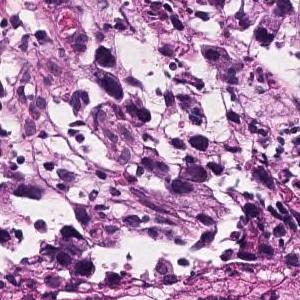
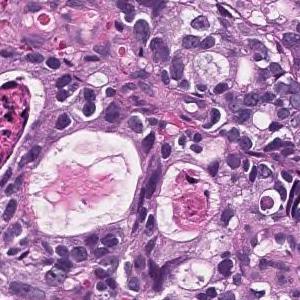
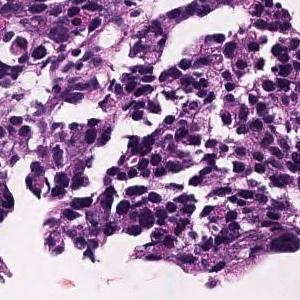
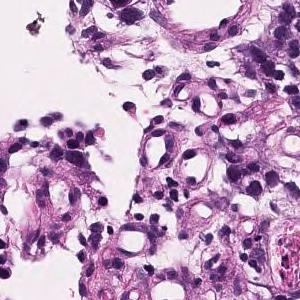
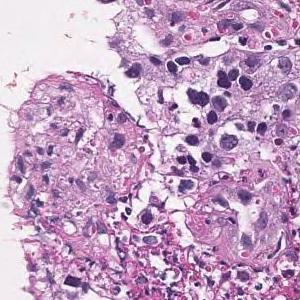
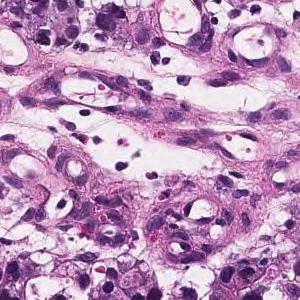
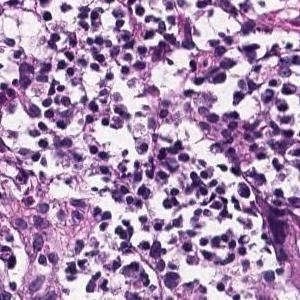
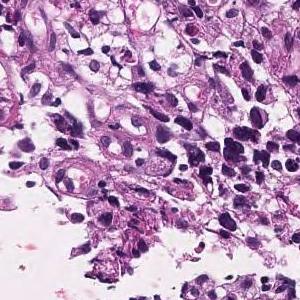
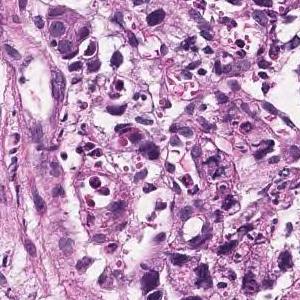
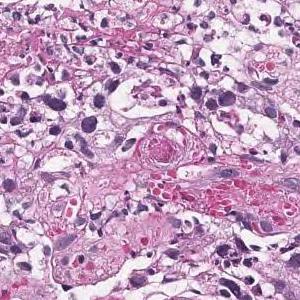
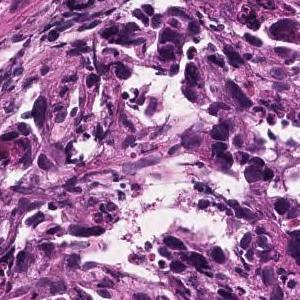
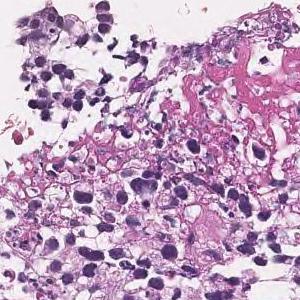
Hematoxylin and eosin stain; 12 tiles cut from one stomach biopsy slide; 300×300 px each.
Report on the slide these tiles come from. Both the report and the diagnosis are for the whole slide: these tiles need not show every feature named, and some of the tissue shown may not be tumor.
Tumor tissue consisting of medium-sized, cord-like or irregular glandular infiltration is observed in the superficial epithelium. Poorly differentiated adenocarcinoma, non-solid type or moderately differentiated tubular adenocarcinoma
"Non-solid type" is a category of the Japanese Classification of Gastric Carcinoma.
